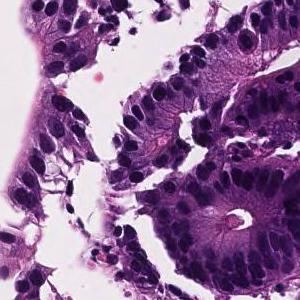
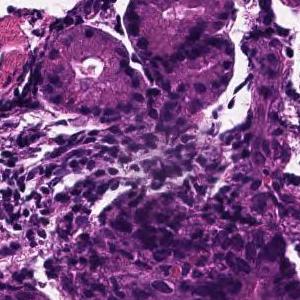
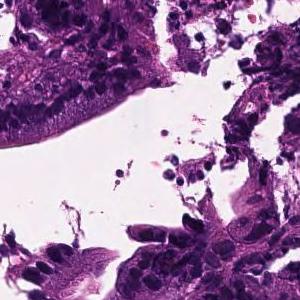
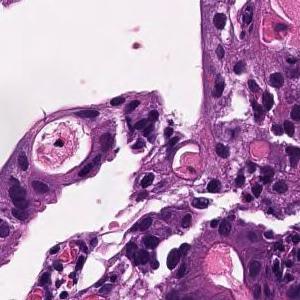
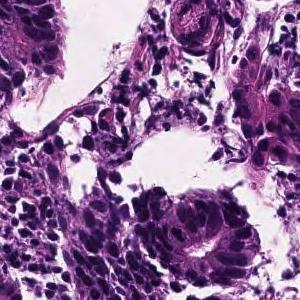
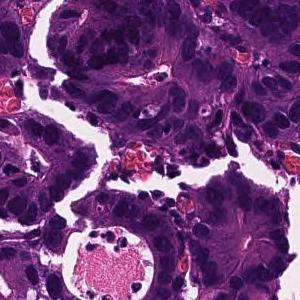
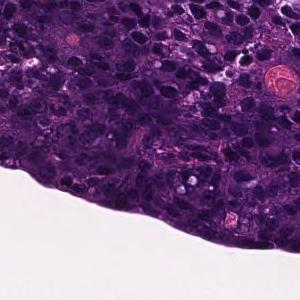
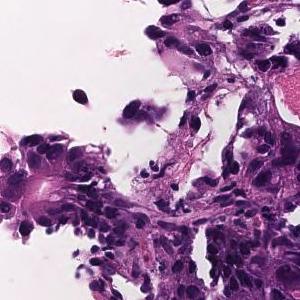
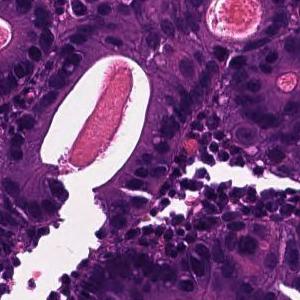
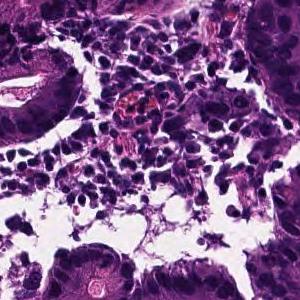
10 tiles cut from one stomach biopsy slide; each 300 × 300 pixels.
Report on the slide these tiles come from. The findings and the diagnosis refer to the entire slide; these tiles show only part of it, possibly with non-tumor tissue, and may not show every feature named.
From the superficial epithelium to the muscularis mucosae, tumor tissue infiltrating by forming medium-sized irregular gland ducts is observed. Large tumor cells exhibit large nucleus and hyperchromatism. Well differentiated tubular adenocarcinoma
